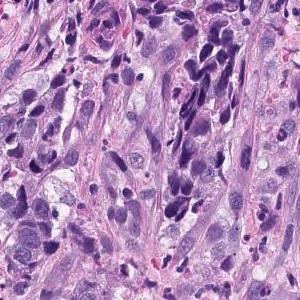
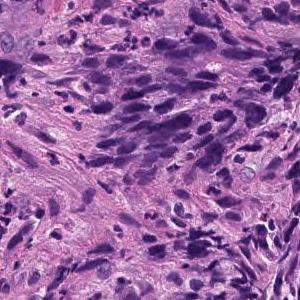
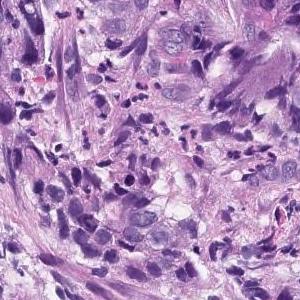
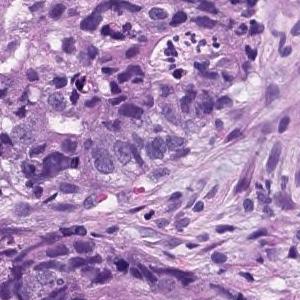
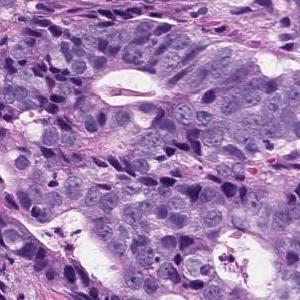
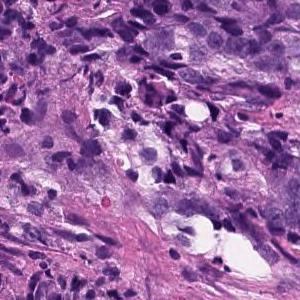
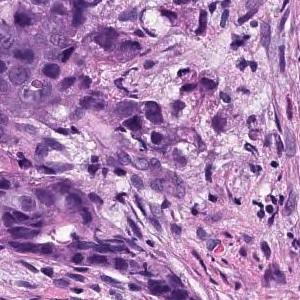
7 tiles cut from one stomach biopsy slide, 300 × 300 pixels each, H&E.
Diagnostic report for the slide these tiles come from. Both the report and the diagnosis are for the whole slide: these tiles need not show every feature named, and some of the tissue shown may not be tumor.
Medium to small, irregular glandular ducts are formed in the superficial epithelium, and in some cases, the glandular ducts are fused to show solid alveolar lesions and infiltrating tumor tissue is observed. Moderately to poorly differentiated adenocarcinoma.
